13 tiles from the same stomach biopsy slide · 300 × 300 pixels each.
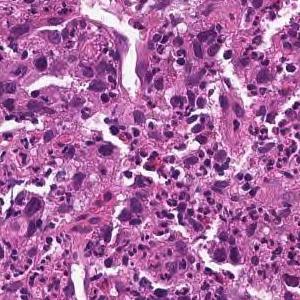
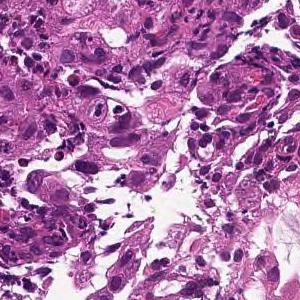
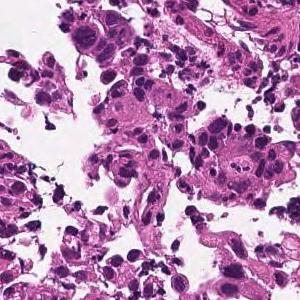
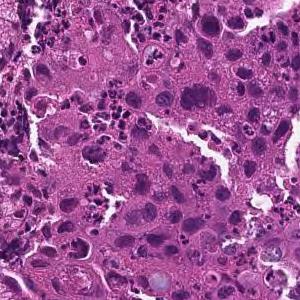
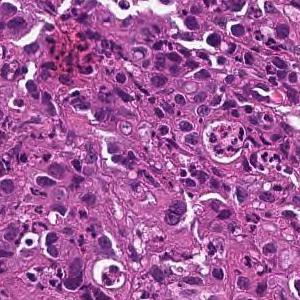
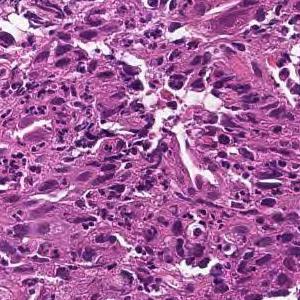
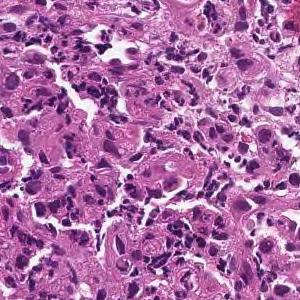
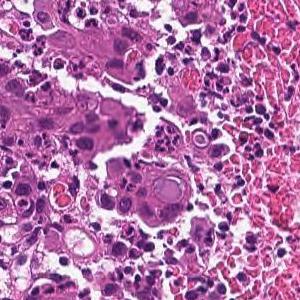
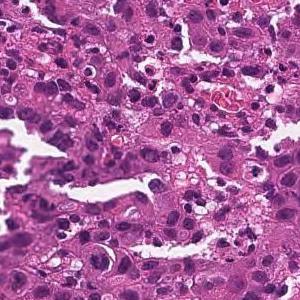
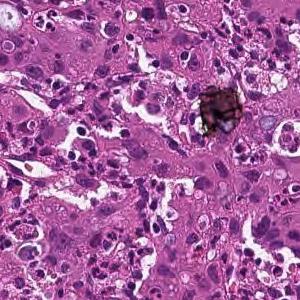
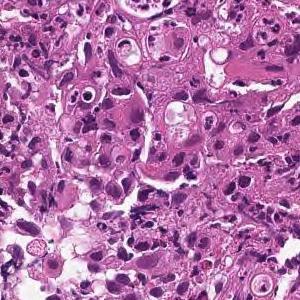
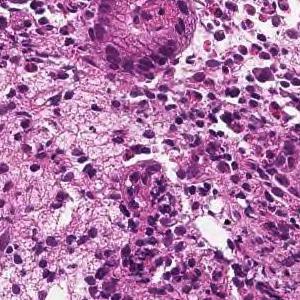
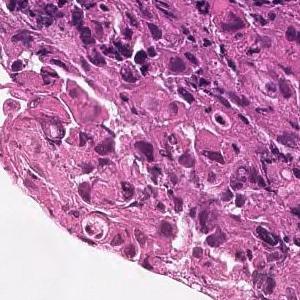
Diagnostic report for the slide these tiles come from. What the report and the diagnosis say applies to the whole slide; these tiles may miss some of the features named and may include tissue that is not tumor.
The superficial epithelium shows a large sheet-like shape, and some tumor tissue infiltrates with small irregular ducts. Poorly differentiated adenocarcinoma, solid-type
Histological subtype: Poorly differentiated adenocarcinoma, solid type (Japanese Classification of Gastric Carcinoma). The WHO 2019 equivalent is tubular adenocarcinoma, poorly differentiated.
